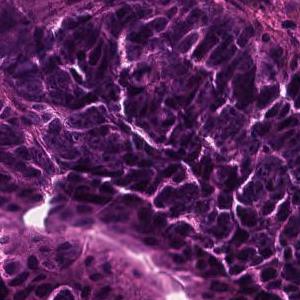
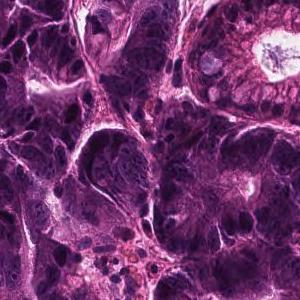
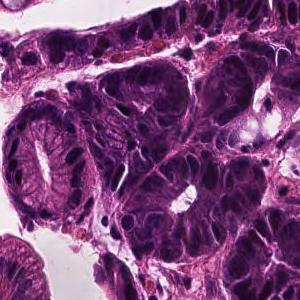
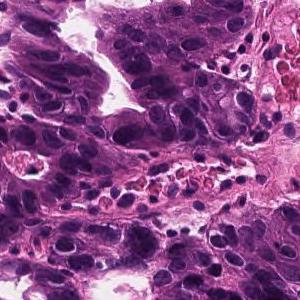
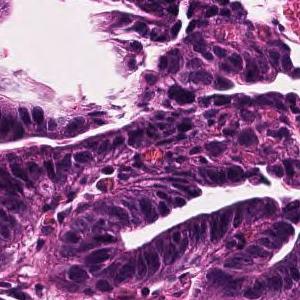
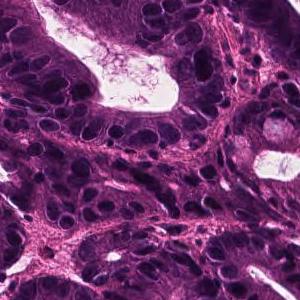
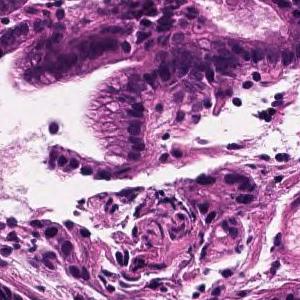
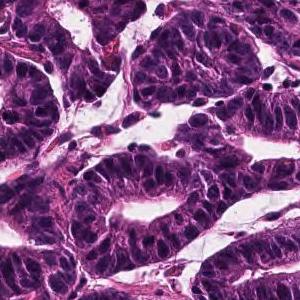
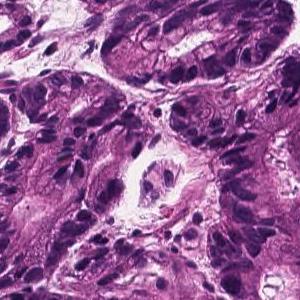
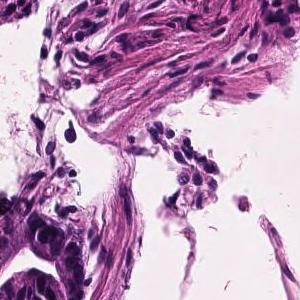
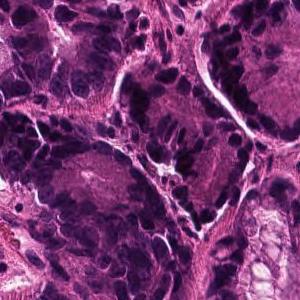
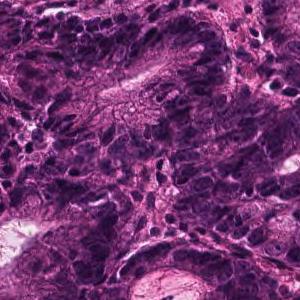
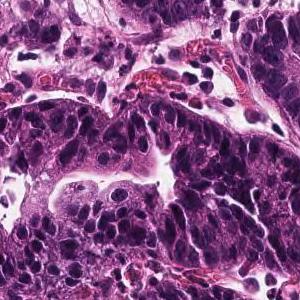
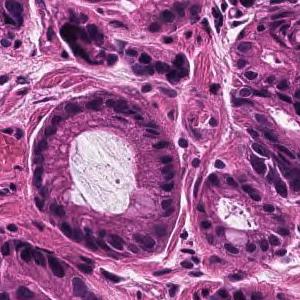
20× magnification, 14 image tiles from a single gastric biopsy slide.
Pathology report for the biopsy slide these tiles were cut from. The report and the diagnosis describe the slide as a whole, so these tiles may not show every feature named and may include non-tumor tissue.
In the superficial epithelium, tumor tissue that invades by forming medium-sized to small, irregular ducts is observed. Well differentiated tubular adenocarcinoma.
